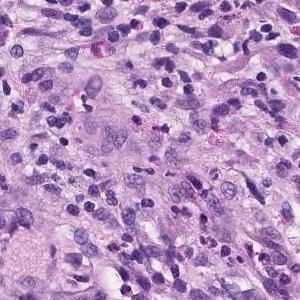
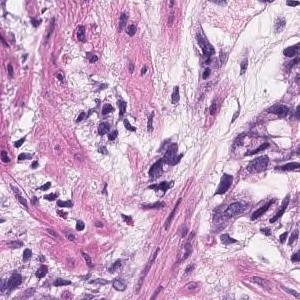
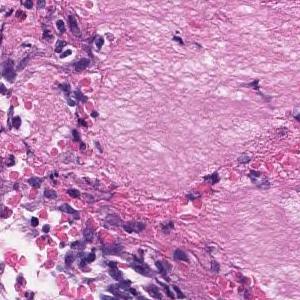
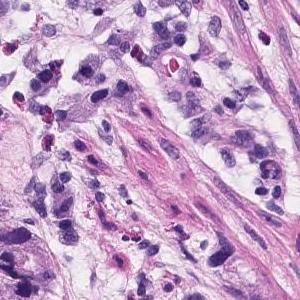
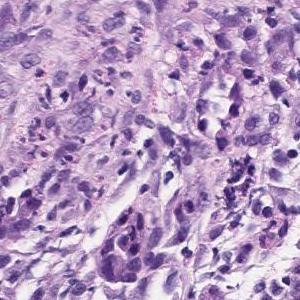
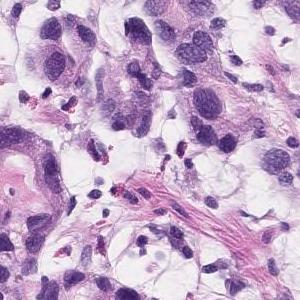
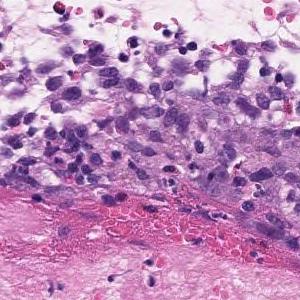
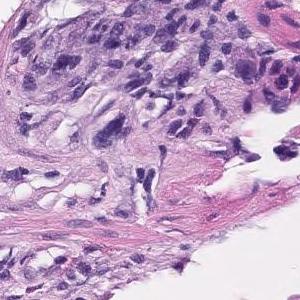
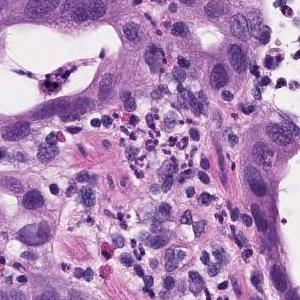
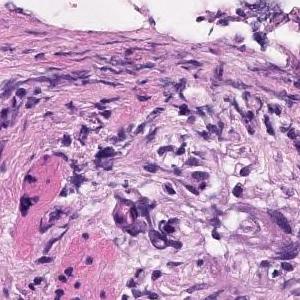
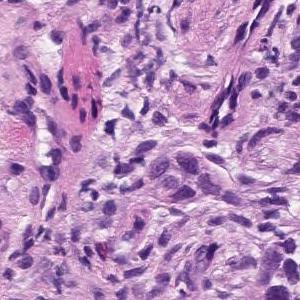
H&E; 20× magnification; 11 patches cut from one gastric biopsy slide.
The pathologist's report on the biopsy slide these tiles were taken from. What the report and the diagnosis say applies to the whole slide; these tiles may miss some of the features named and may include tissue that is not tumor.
Group 5, Adenocarcinoma. Moderately to poorly differentiated adenocarcinoma
